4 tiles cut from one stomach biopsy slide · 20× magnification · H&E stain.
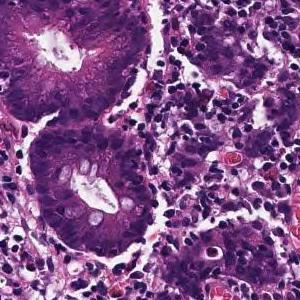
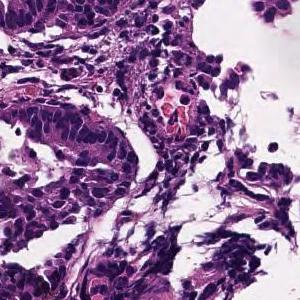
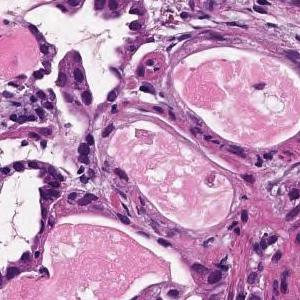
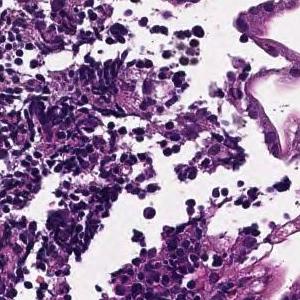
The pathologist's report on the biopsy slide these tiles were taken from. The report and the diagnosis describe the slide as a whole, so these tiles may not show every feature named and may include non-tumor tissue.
Tumor tissue consisting of medium-sized, cord-like or irregular glandular infiltration is observed in the superficial epithelium. Poorly differentiated adenocarcinoma, non-solid type or moderately differentiated tubular adenocarcinoma
Histological subtype: Moderately to poorly differentiated adenocarcinoma.
"Non-solid type" is a category of the Japanese Classification of Gastric Carcinoma.
